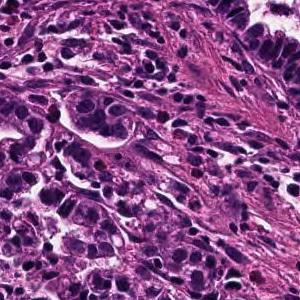
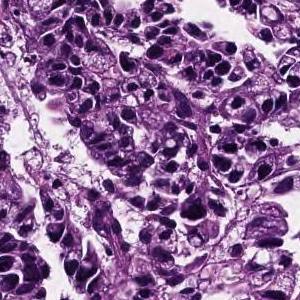
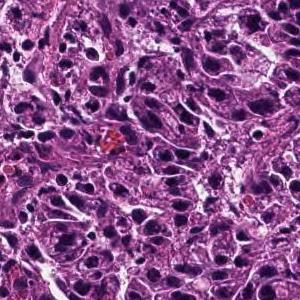
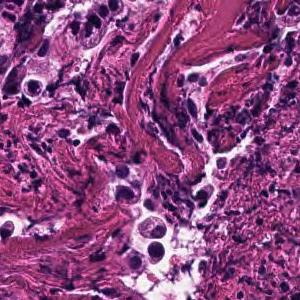
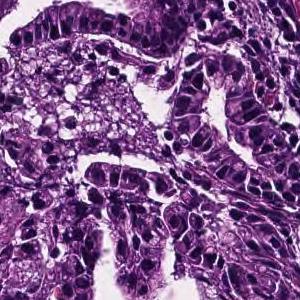
5 tiles cut from one stomach biopsy slide, H&E stain, scanned at ×20.
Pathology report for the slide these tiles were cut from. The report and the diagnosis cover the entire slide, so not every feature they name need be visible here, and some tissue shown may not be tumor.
Tumor cells are large, highly columnar, large club-shaped nuclei, and are associated with chromatin aggregation. Papillary adenocarcinoma.
